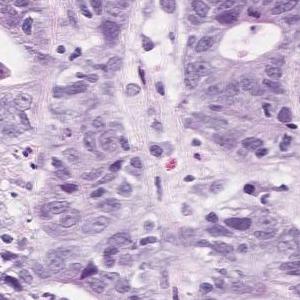
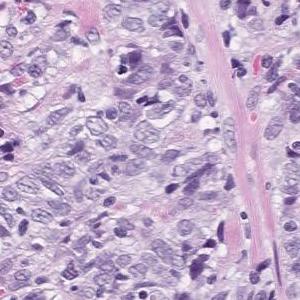
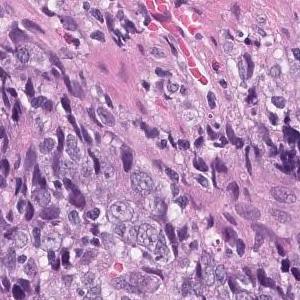
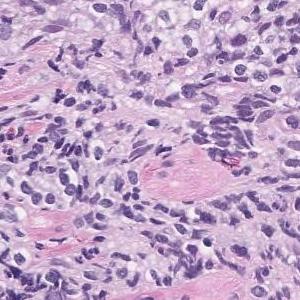
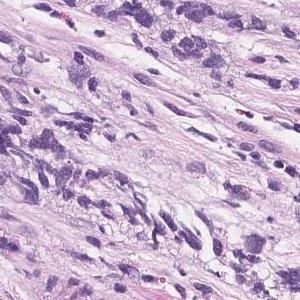
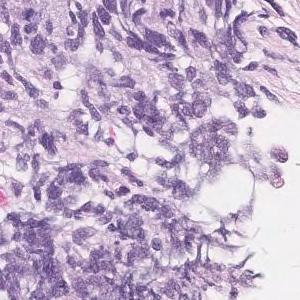
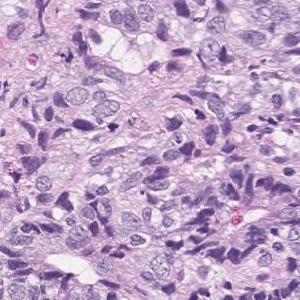
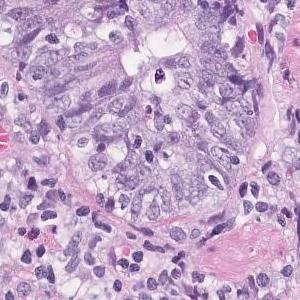
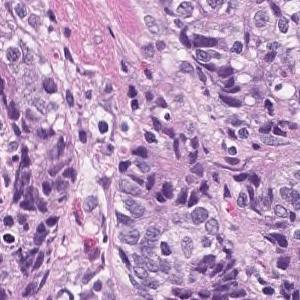
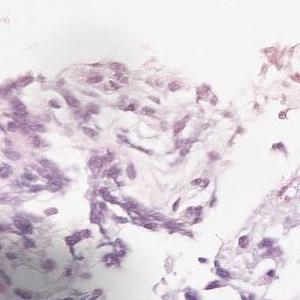
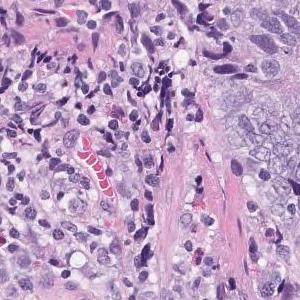
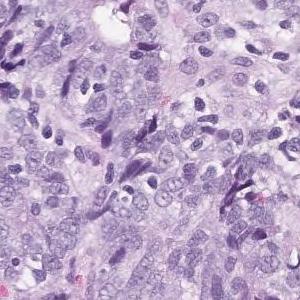
12 image tiles from a single gastric biopsy slide; ×20; hematoxylin and eosin stain.
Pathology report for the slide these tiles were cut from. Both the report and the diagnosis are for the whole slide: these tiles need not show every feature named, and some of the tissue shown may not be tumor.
Highly columnar epithelium with disordered nuclear localization proliferates showing fusion ductal construction. moderately differentiated tubular adenocarcinoma
